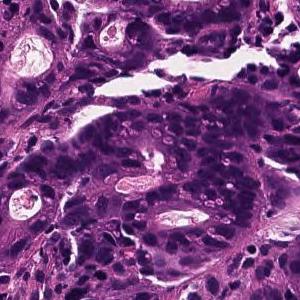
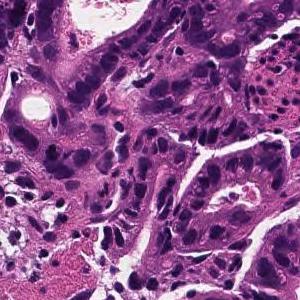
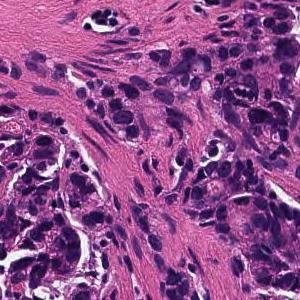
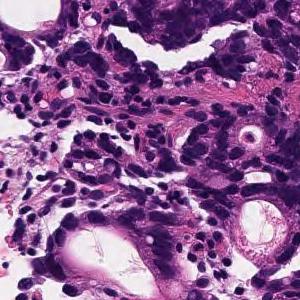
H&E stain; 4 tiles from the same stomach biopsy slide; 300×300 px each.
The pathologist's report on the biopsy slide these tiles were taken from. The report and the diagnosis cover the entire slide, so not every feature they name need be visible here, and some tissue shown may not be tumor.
In the superficial epithelium, tumor tissue that invades by forming medium-sized to small, irregular ducts is observed. moderately differentiated tubular adenocarcinoma.
